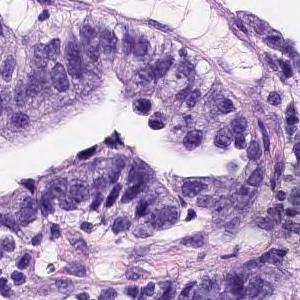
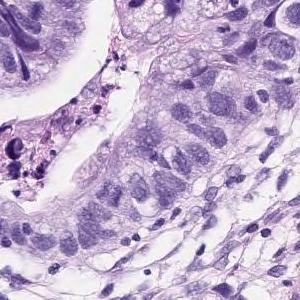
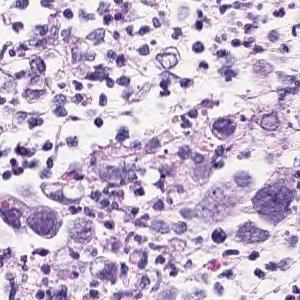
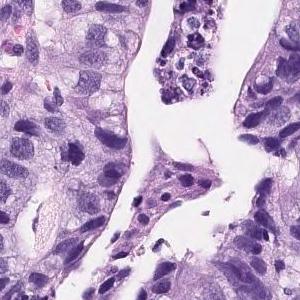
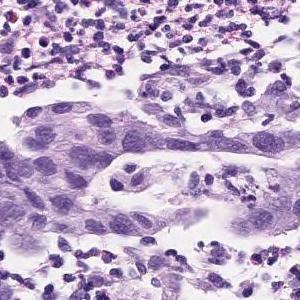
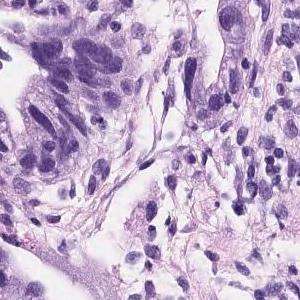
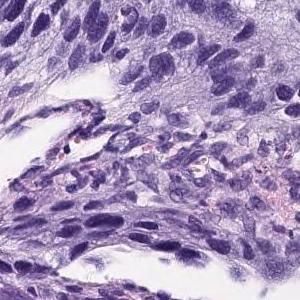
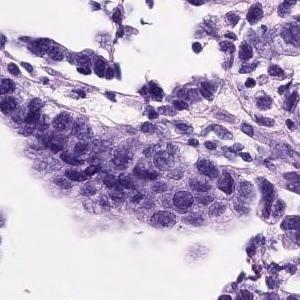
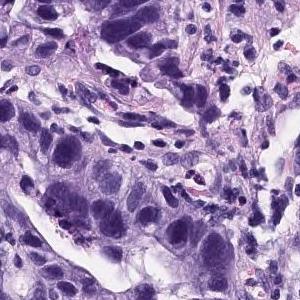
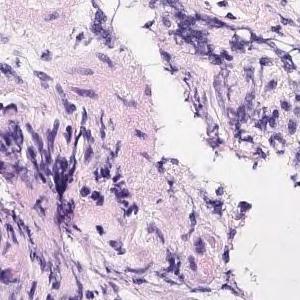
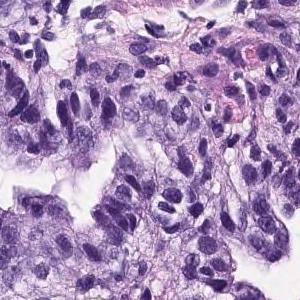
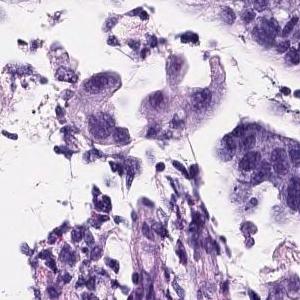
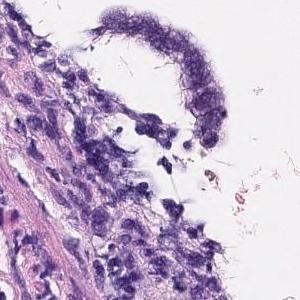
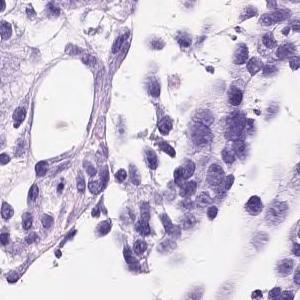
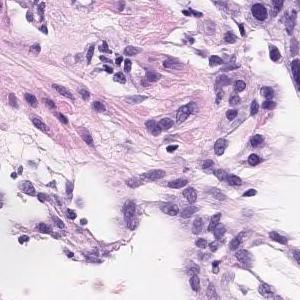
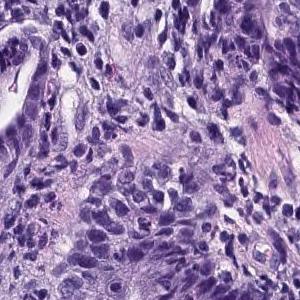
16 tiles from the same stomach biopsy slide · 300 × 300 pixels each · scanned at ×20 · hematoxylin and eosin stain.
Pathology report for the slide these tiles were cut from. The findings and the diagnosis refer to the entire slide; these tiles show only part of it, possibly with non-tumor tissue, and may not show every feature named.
On the superficial epithelium, tumor tissue consisting of medium to small irregular tubules partially fused and proliferated is observed. moderately differentiated tubular adenocarcinoma
